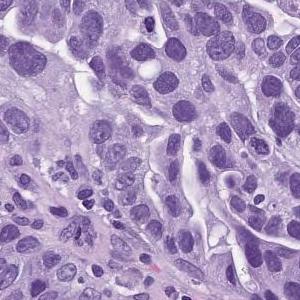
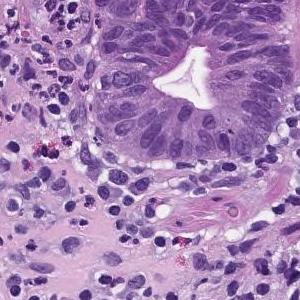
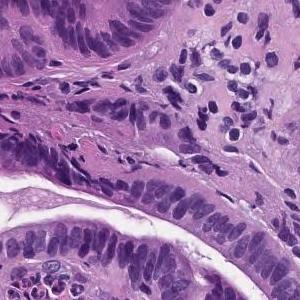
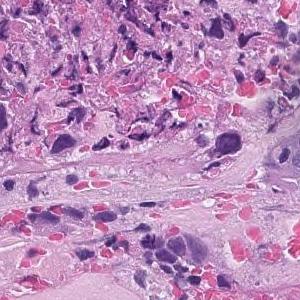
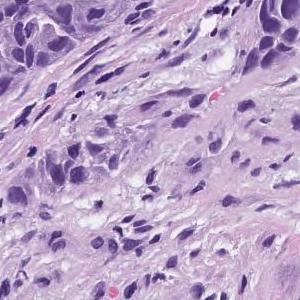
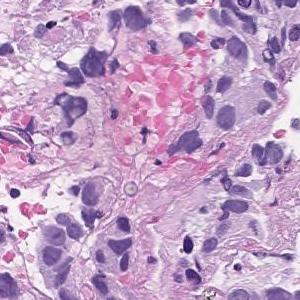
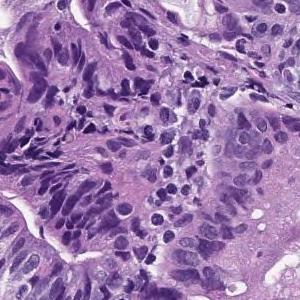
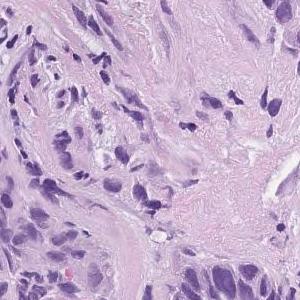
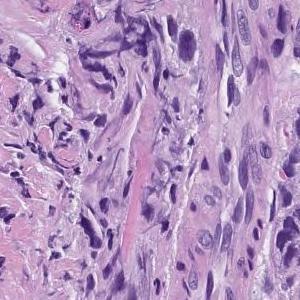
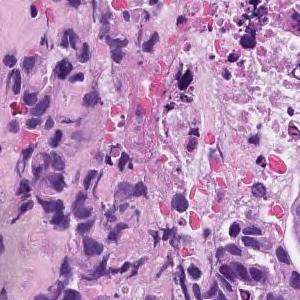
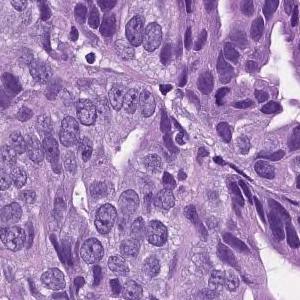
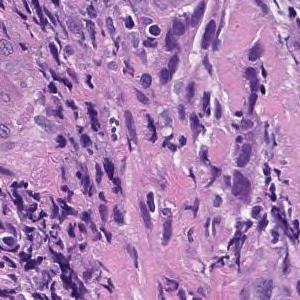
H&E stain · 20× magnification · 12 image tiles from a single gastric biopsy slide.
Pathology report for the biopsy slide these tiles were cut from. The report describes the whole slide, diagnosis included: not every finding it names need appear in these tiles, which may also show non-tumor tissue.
In the superficial epithelium, tumor tissue that invades by forming medium-sized to small, irregular ducts is observed. moderately differentiated tubular adenocarcinoma.
